H&E; scanned at ×20; 7 patches cut from one gastric biopsy slide; 300×300 px each.
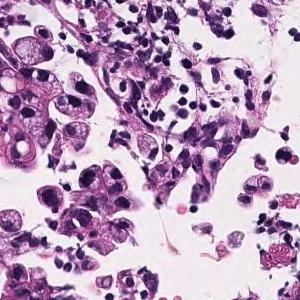
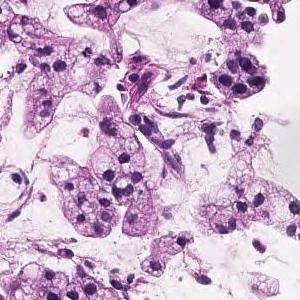
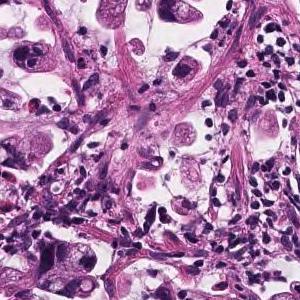
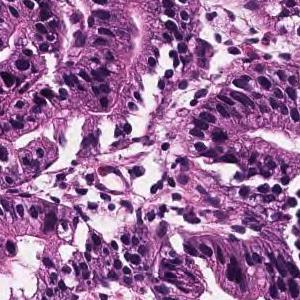
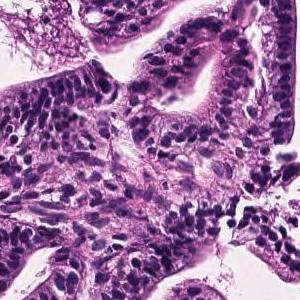
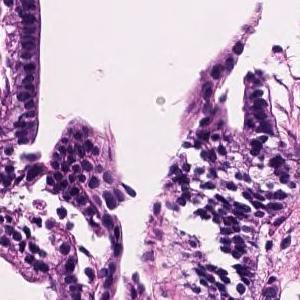
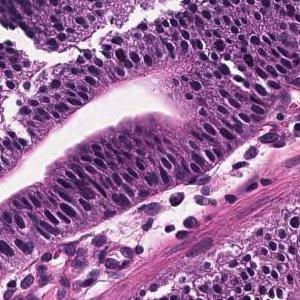
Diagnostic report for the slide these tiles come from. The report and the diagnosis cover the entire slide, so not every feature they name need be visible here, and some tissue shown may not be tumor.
Tumor tissue consisting of large papillary structures or irregular glandular ducts partially fused and infiltrated is observed in the superficial epithelium. Well to moderately differentiated tubular adenocarcinoma.
Dataset label: moderately differentiated tubular adenocarcinoma.
